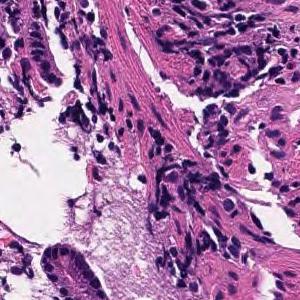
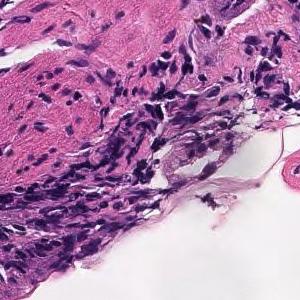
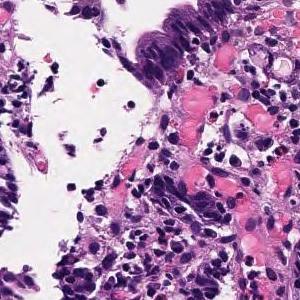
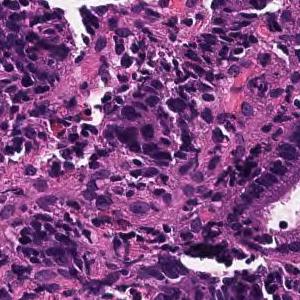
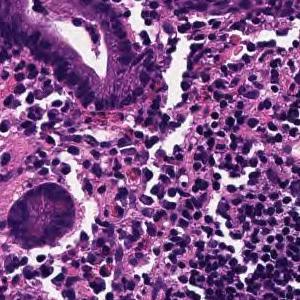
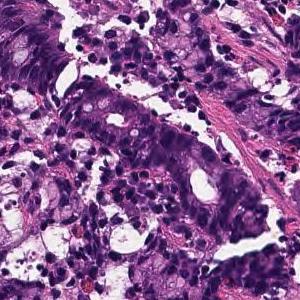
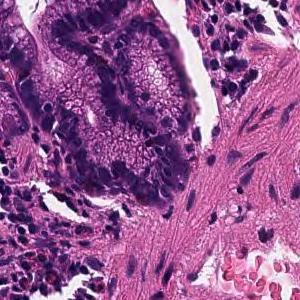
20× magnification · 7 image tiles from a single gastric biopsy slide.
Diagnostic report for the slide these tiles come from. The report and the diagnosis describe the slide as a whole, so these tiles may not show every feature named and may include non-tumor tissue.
In the superficial epithelium, tumor tissue that invades by forming medium-sized to small, irregular ducts is observed. moderately differentiated tubular adenocarcinoma.
